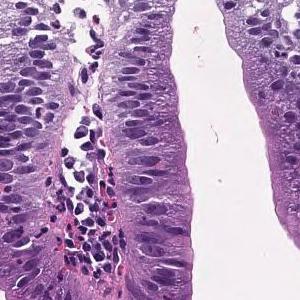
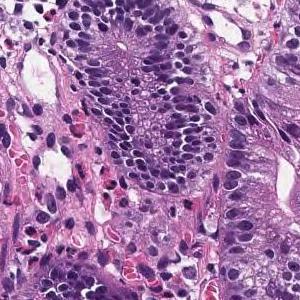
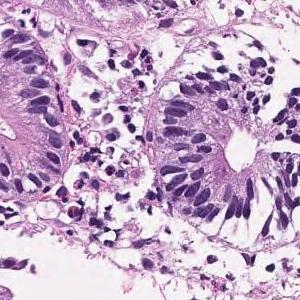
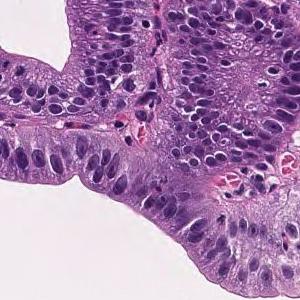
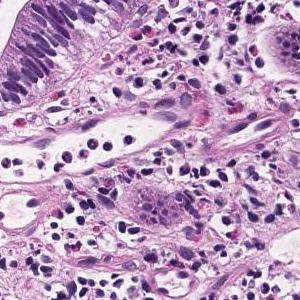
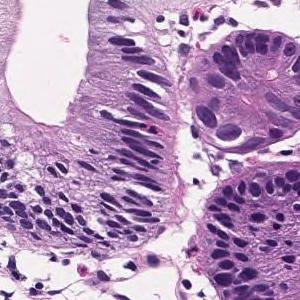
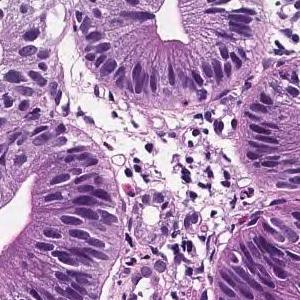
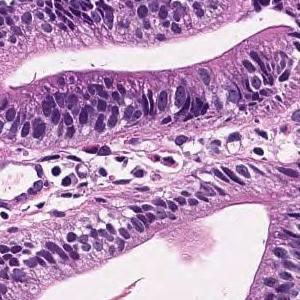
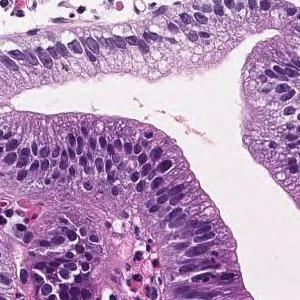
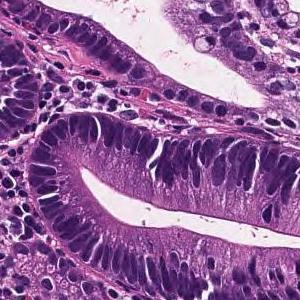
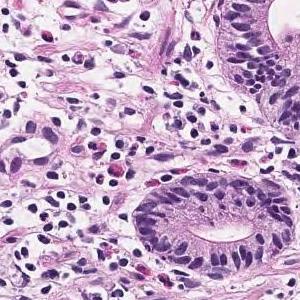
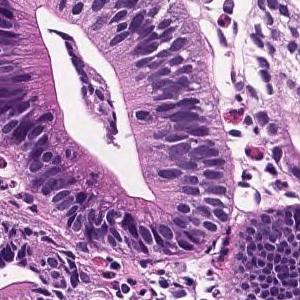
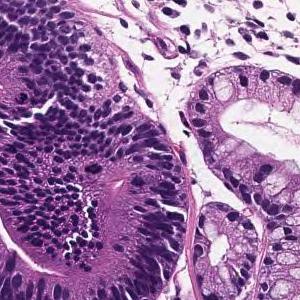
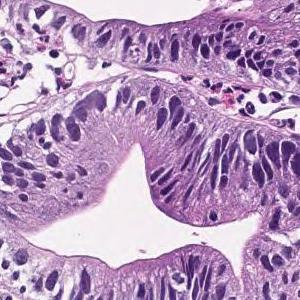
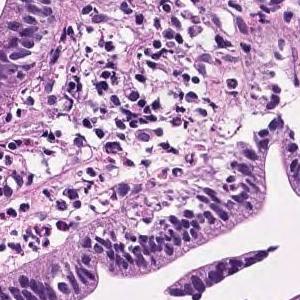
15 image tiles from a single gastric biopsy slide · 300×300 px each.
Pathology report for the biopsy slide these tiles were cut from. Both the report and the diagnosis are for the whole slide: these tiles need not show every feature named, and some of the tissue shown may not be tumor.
In the superficial epithelium, tumor tissue that invades by forming medium-sized to small, irregular ducts is observed. Well differentiated tubular adenocarcinoma.
